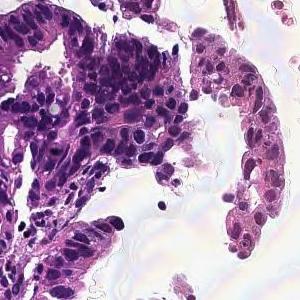
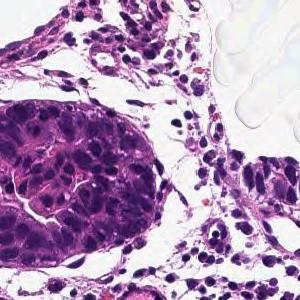
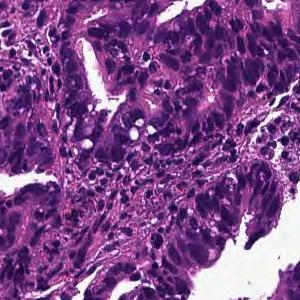
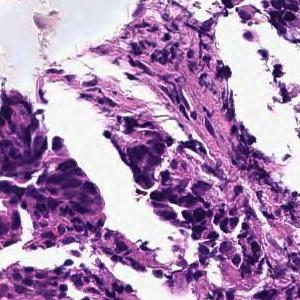
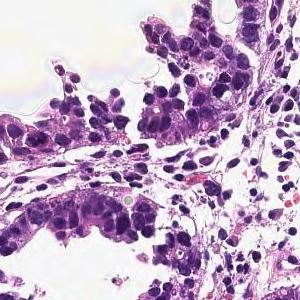
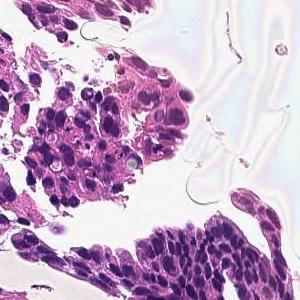
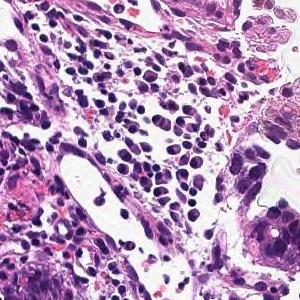
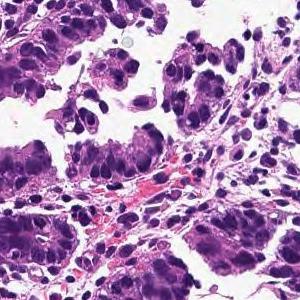
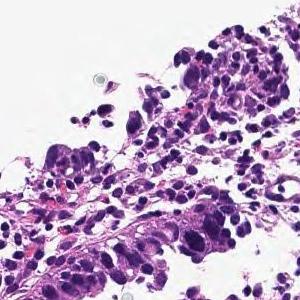
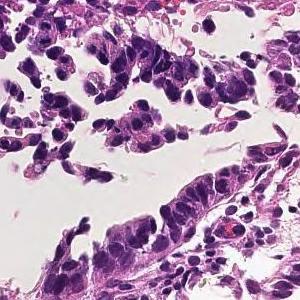
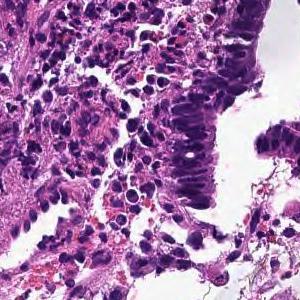
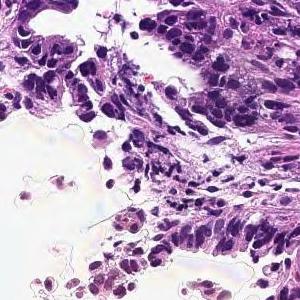
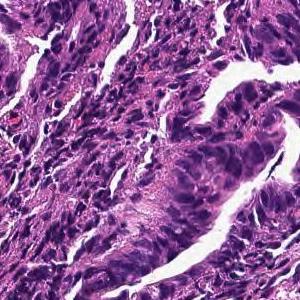
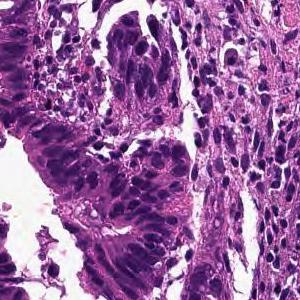
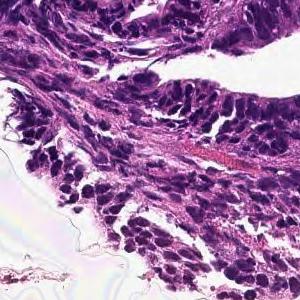
H&E stain · 15 image tiles from a single gastric biopsy slide · 300 × 300 pixels each.
Pathology report for the biopsy slide these tiles were cut from. The findings and the diagnosis refer to the entire slide; these tiles show only part of it, possibly with non-tumor tissue, and may not show every feature named.
In the superficial epithelium, tumor tissue that invades by forming medium-sized to small, irregular ducts is observed. moderately differentiated tubular adenocarcinoma.
